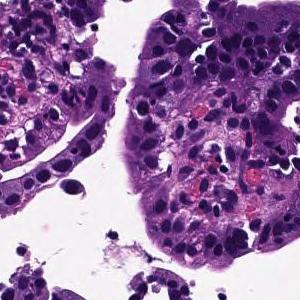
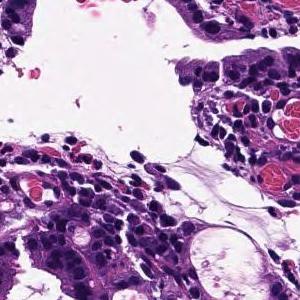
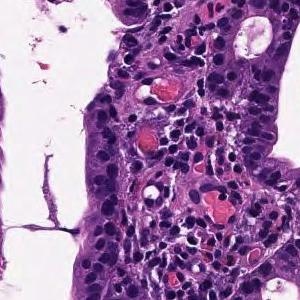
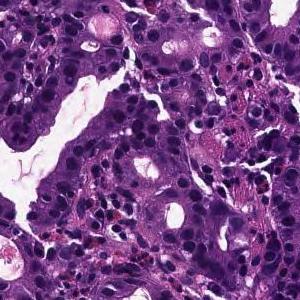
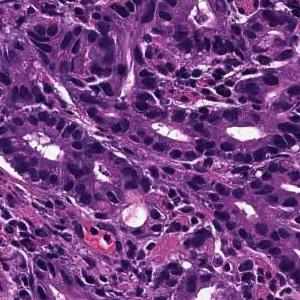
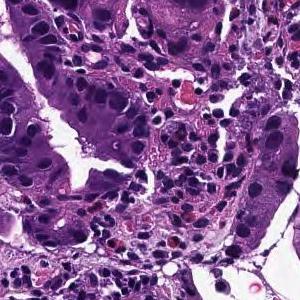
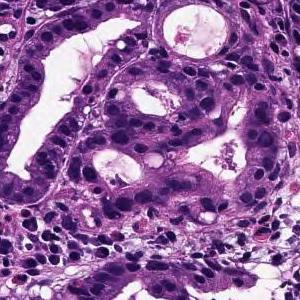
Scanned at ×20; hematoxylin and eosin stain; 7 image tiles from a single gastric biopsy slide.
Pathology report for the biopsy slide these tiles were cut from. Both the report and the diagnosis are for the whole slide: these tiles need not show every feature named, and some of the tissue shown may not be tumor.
From the superficial epithelium to the muscularis mucosae, tumor tissue consisting of medium-sized and irregular glandular ducts infiltrating is observed. Well differentiated tubular adenocarcinoma
